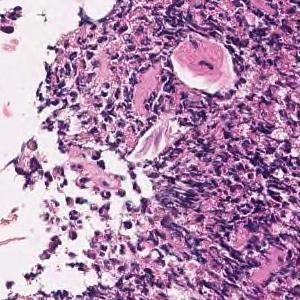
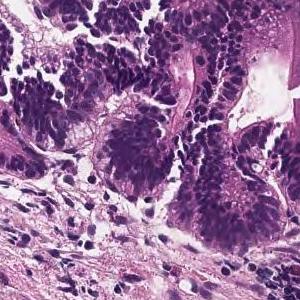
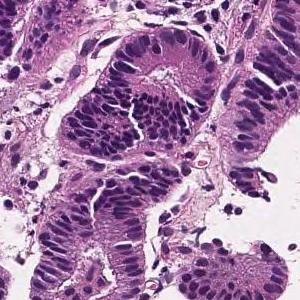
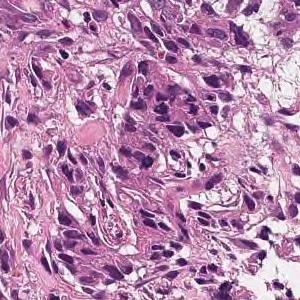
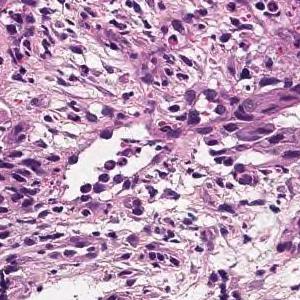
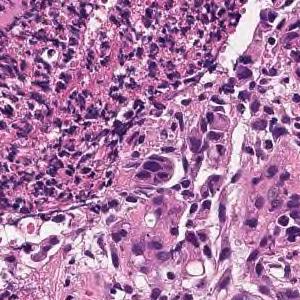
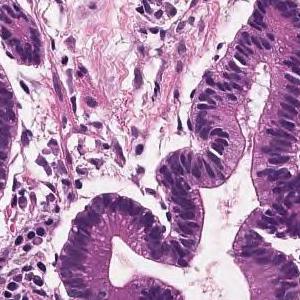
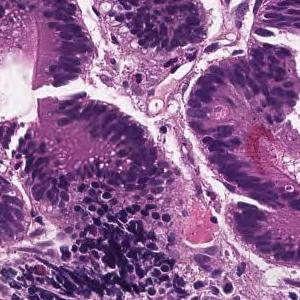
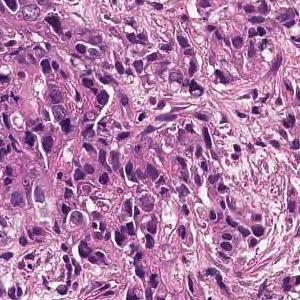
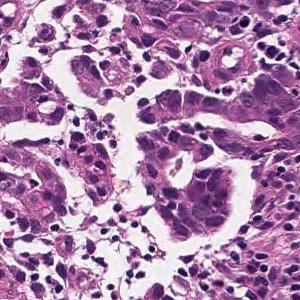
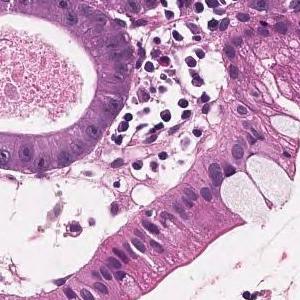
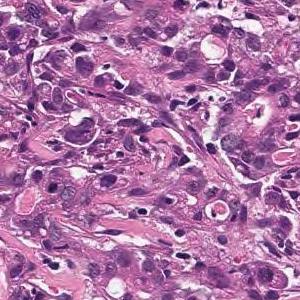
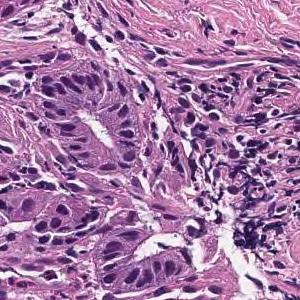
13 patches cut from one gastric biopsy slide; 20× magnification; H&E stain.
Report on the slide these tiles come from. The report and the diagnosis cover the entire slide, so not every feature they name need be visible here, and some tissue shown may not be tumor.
Tumor tissue consisting of cord-like or small, irregular glandular ducts fused and infiltrated is observed in the superficial epithelium. Poorly differentiated adenocarcinoma, non-solid type
"Non-solid type" is a category of the Japanese Classification of Gastric Carcinoma.
